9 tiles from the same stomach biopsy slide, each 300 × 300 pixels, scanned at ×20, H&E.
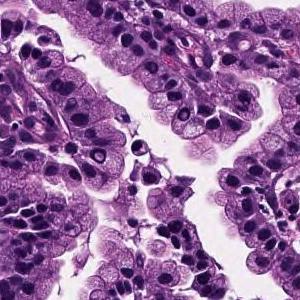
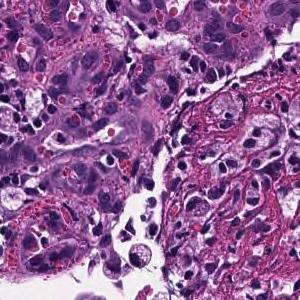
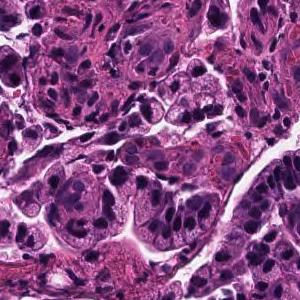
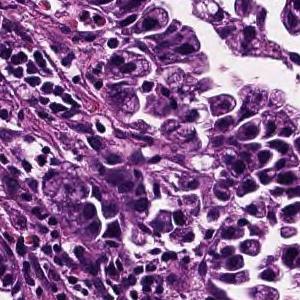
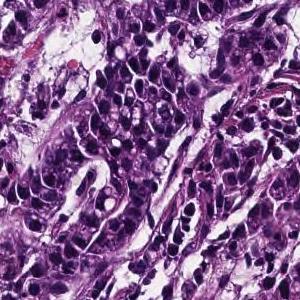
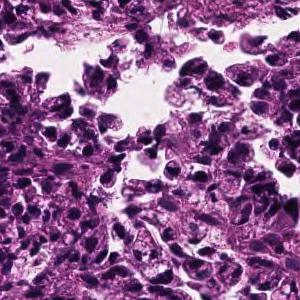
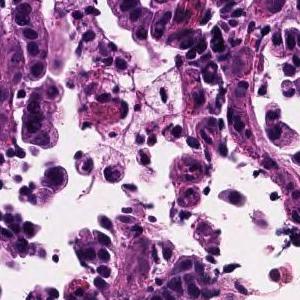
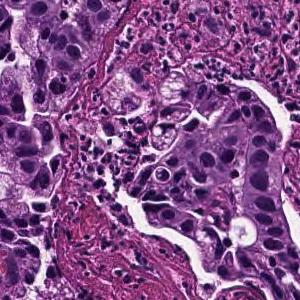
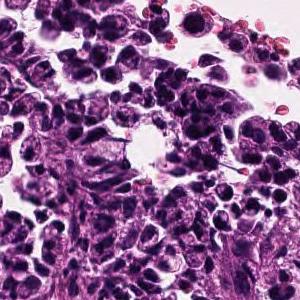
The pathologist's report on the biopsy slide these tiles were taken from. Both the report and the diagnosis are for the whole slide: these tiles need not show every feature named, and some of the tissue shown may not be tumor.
Tumor cells are large, highly columnar, large club-shaped nuclei, and are associated with chromatin aggregation. Papillary adenocarcinoma.
